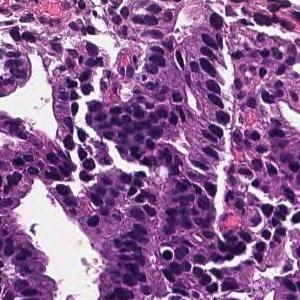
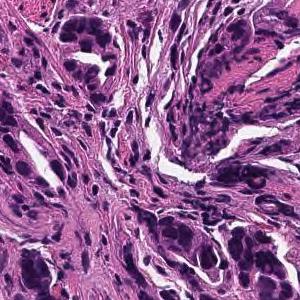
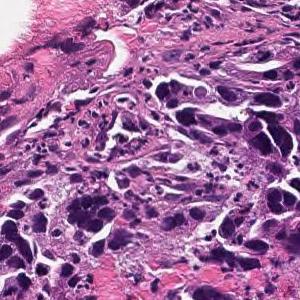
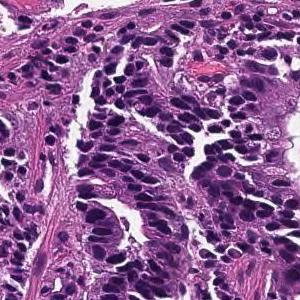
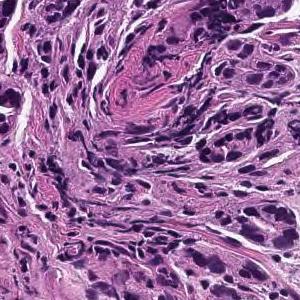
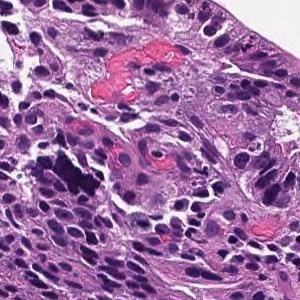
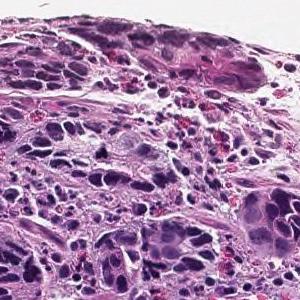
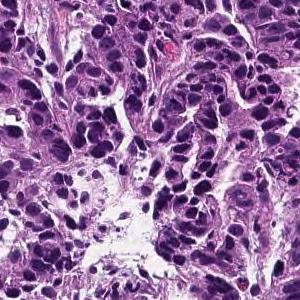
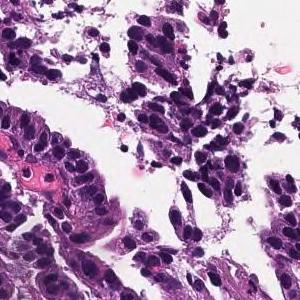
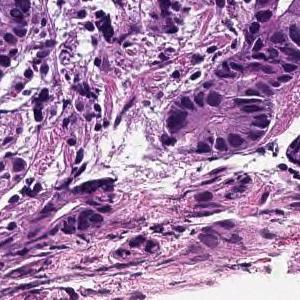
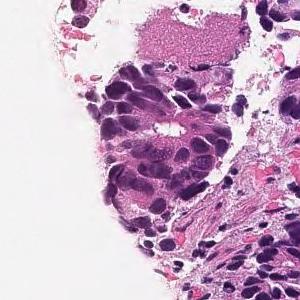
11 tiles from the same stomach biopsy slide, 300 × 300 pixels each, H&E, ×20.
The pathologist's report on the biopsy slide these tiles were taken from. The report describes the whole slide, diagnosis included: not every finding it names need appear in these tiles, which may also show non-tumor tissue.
In the superficial epithelium, tumor tissue that invades by forming medium-sized to small, irregular ducts is observed. moderately differentiated tubular adenocarcinoma.
